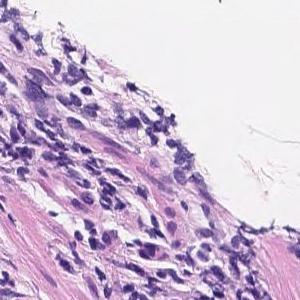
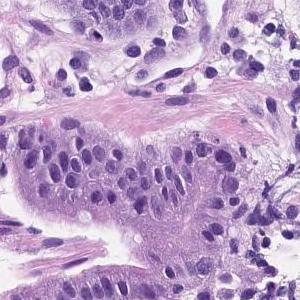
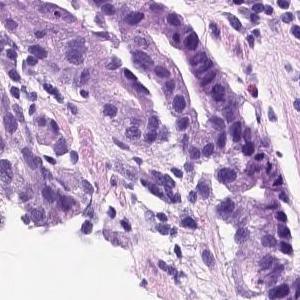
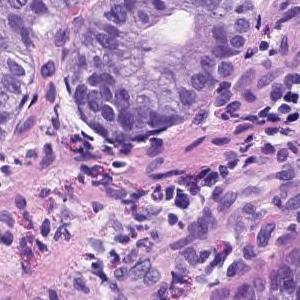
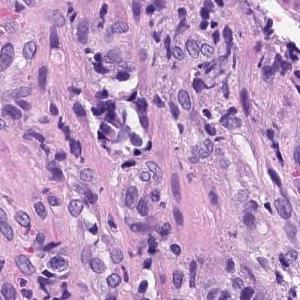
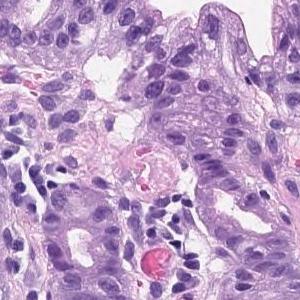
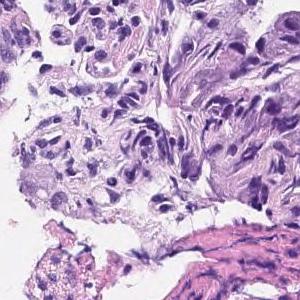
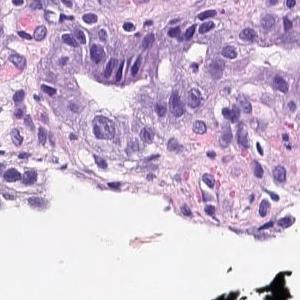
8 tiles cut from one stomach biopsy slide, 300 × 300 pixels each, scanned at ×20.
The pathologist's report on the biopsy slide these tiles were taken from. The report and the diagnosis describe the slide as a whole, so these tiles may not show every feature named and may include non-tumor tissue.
Tumor tissue consisting of medium-sized and irregular ducts is observed infiltrating in the superficial epithelium. Tumor cells are highly columnar, with nuclei aligned basolaterally and polarized. Well differentiated tubular adenocarcinoma.
